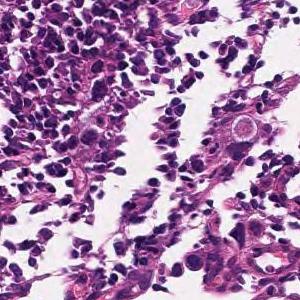
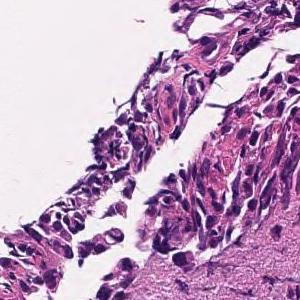
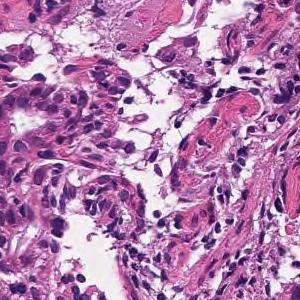
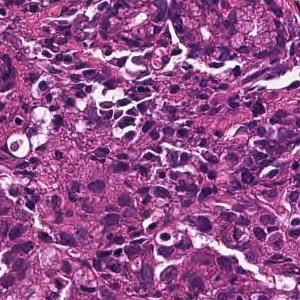
×20, H&E, 4 tiles cut from one stomach biopsy slide, each 300 × 300 pixels.
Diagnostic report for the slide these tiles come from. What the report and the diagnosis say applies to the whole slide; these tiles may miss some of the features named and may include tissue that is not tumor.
Tumor tissue consisting of cord-like or small, irregular glandular ducts fused and infiltrated is observed in the superficial epithelium. Poorly differentiated adenocarcinoma, non-solid type
"Non-solid type" is a category of the Japanese Classification of Gastric Carcinoma.
